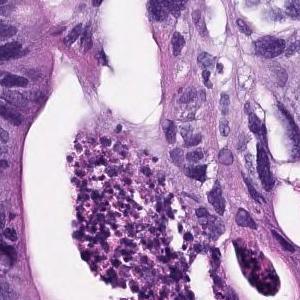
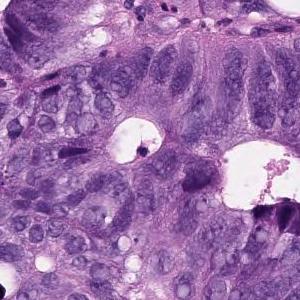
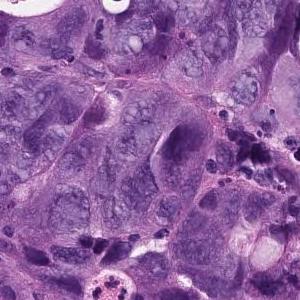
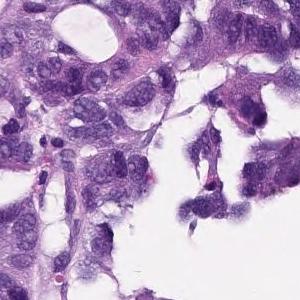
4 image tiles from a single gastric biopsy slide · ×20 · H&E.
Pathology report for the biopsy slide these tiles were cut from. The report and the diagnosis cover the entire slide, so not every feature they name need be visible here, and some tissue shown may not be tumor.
In the superficial epithelium, tumor tissue that invades by forming medium-sized to small, irregular ducts is observed. Moderately differentiated adenocarcinoma.
Histologic type: Moderately differentiated tubular adenocarcinoma.
